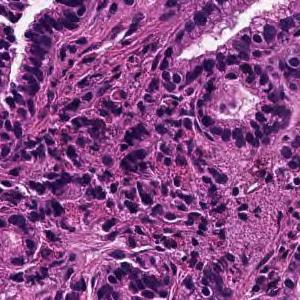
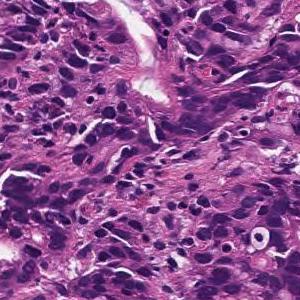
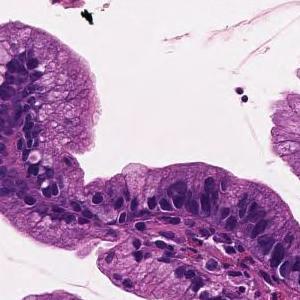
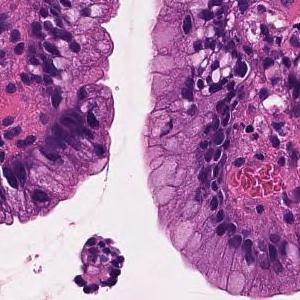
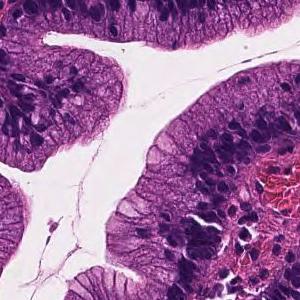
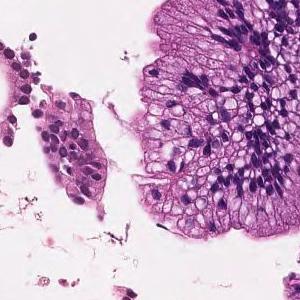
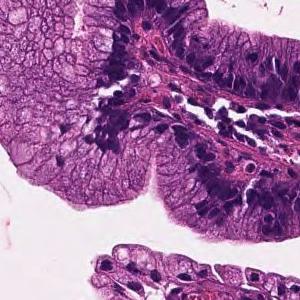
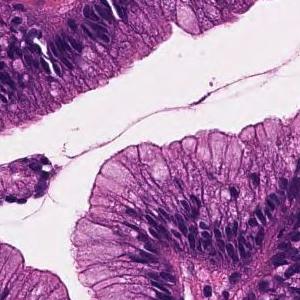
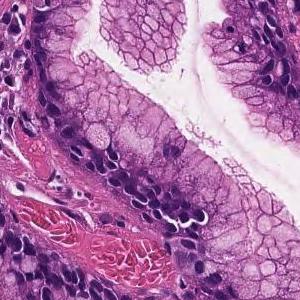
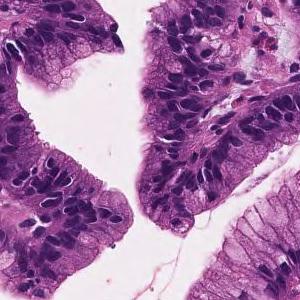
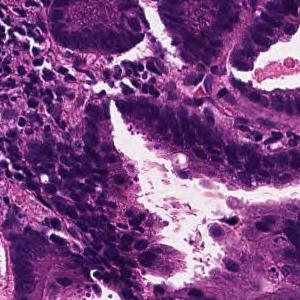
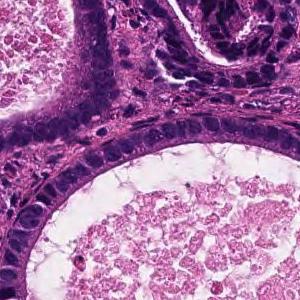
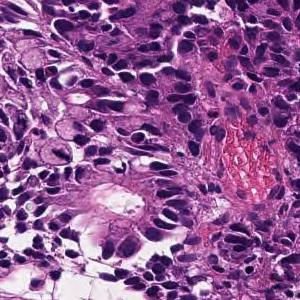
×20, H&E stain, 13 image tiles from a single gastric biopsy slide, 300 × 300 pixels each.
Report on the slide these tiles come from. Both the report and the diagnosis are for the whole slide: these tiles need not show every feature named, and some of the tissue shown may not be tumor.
On the superficial epithelium, tumor tissue consisting of medium-sized and irregular glandular ducts partially fused and infiltrated is observed. Well to moderately differentiated tubular adenocarcinoma (well differentiated tubular adenocarcinoma-moderately differentiated tubular adenocarcinoma)
Tumor subtype: well to moderately differentiated tubular adenocarcinoma.
